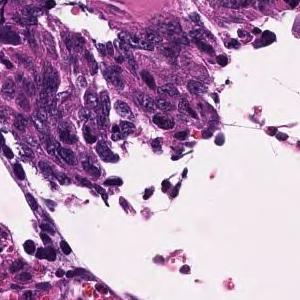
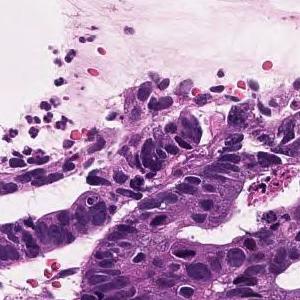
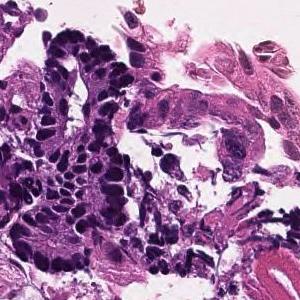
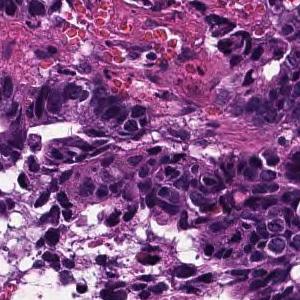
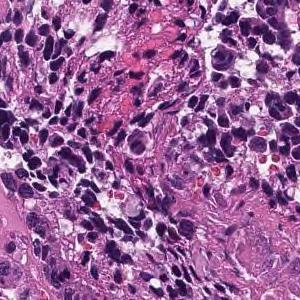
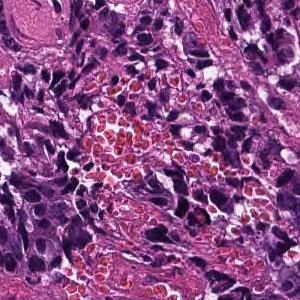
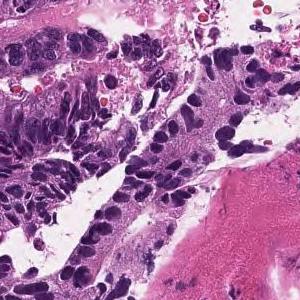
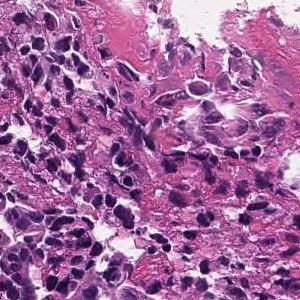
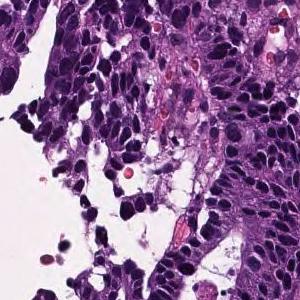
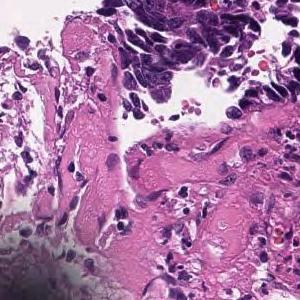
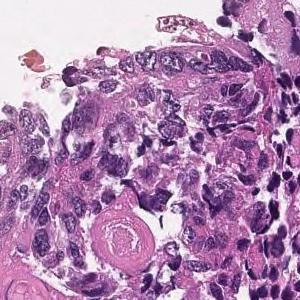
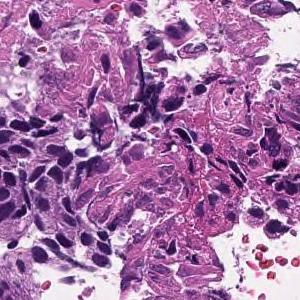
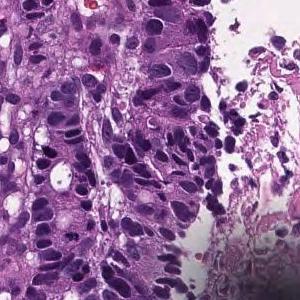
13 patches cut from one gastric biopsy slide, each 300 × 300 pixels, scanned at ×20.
Pathology report for the slide these tiles were cut from. What the report and the diagnosis say applies to the whole slide; these tiles may miss some of the features named and may include tissue that is not tumor.
Tumor tissue consisting of large, irregular glandular ducts, centered on the submucosa, infiltrated by fusion with each other is observed. Well to moderately differentiated tubular adenocarcinoma (well differentiated tubular adenocarcinoma-moderately differentiated tubular adenocarcinoma)
Subtype: Well to moderately differentiated tubular adenocarcinoma.
